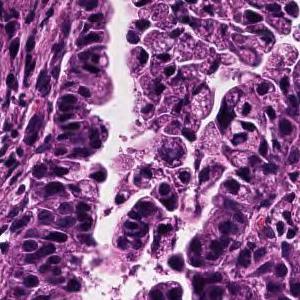
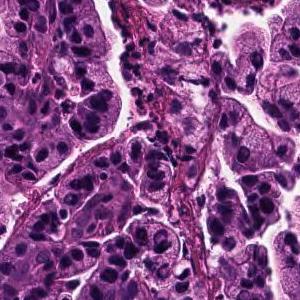
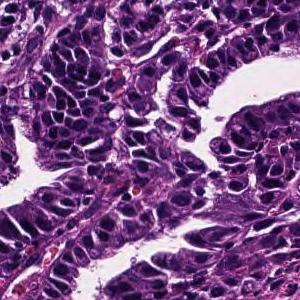
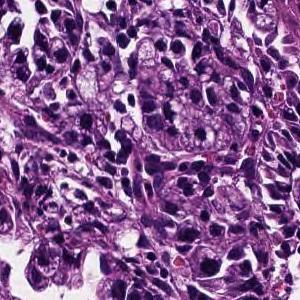
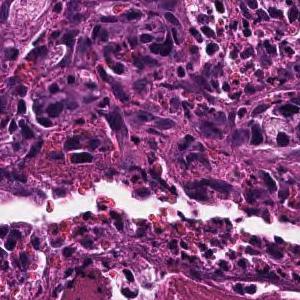
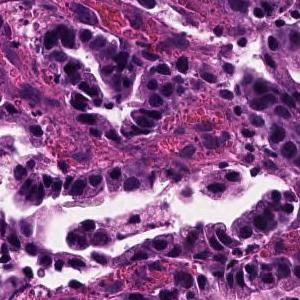
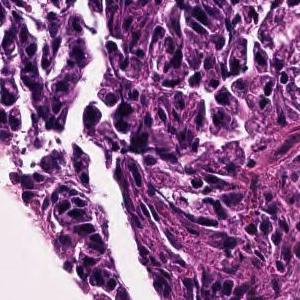
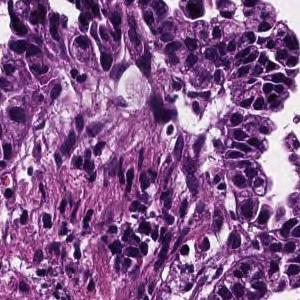
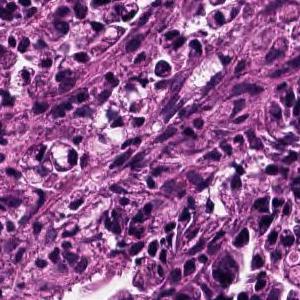
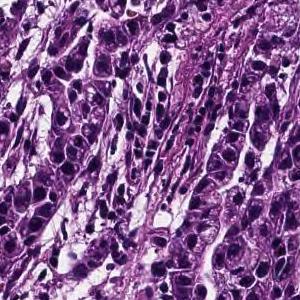
10 tiles from the same stomach biopsy slide, 300×300 px each, H&E stain.
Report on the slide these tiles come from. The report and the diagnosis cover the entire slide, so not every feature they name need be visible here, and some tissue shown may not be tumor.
Tumor cells are large, highly columnar, large club-shaped nuclei, and are associated with chromatin aggregation. Papillary adenocarcinoma.
